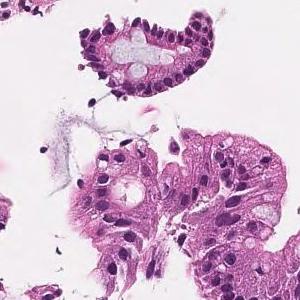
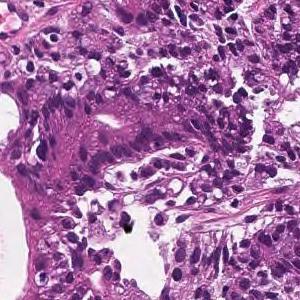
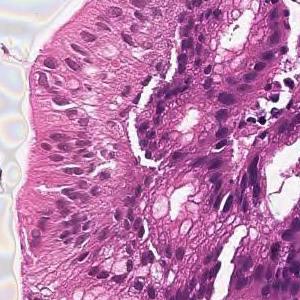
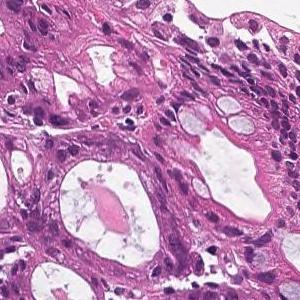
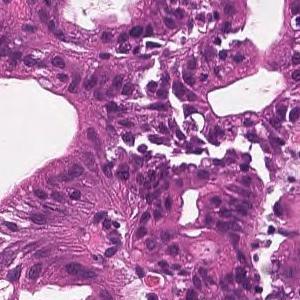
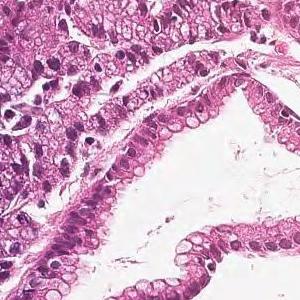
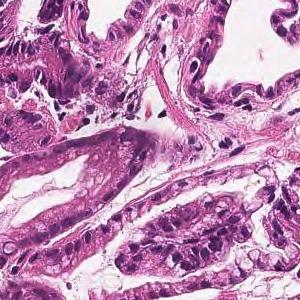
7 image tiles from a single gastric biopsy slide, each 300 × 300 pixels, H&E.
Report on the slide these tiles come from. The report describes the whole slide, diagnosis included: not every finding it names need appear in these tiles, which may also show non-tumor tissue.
In the superficial epithelium, tumor tissue that invades by forming medium-sized to small, irregular ducts is observed. moderately differentiated tubular adenocarcinoma.
